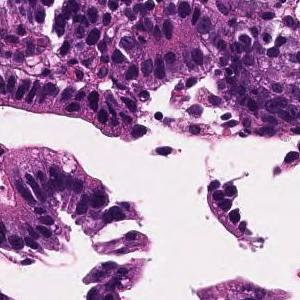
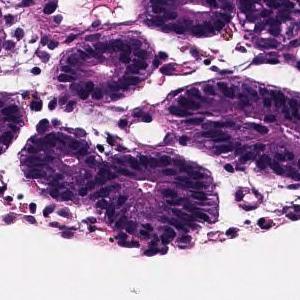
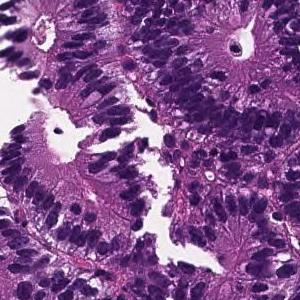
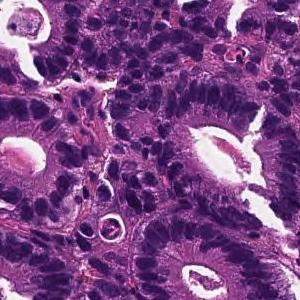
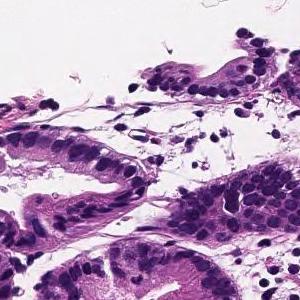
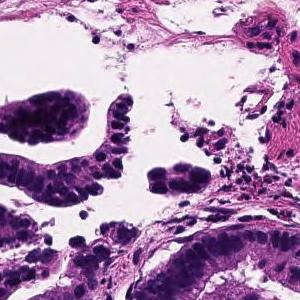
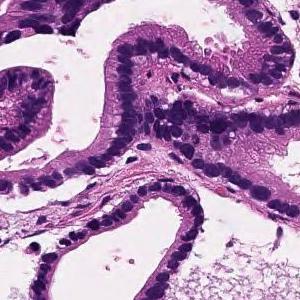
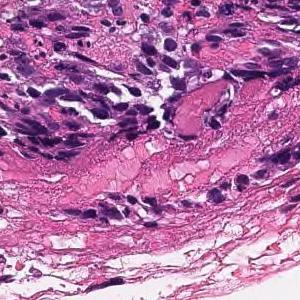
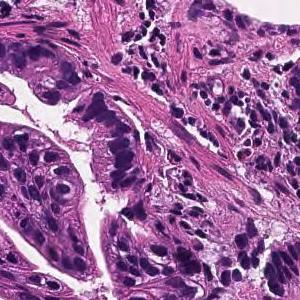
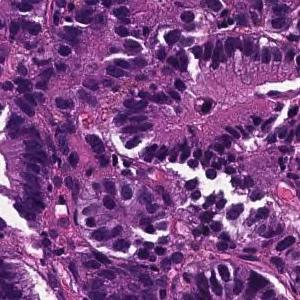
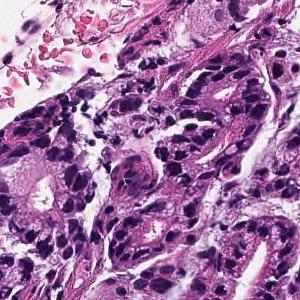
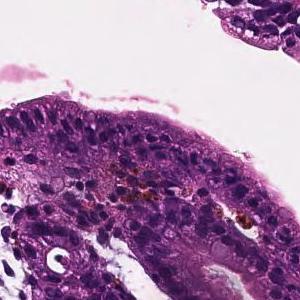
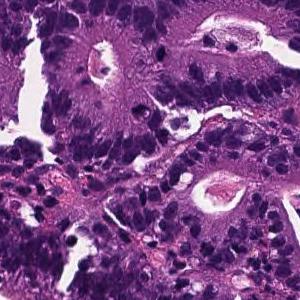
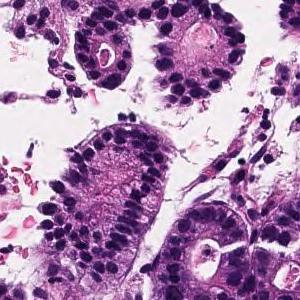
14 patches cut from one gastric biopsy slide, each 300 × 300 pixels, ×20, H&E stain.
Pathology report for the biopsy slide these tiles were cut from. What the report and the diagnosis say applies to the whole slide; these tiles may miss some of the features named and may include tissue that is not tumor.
From the superficial epithelium to the muscularis mucosae, tumor tissue consisting of medium-sized and irregular glandular ducts infiltrating is observed. Well differentiated tubular adenocarcinoma
